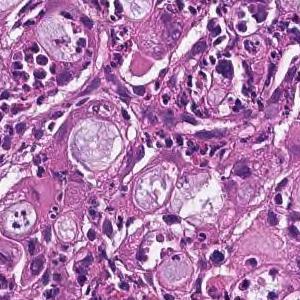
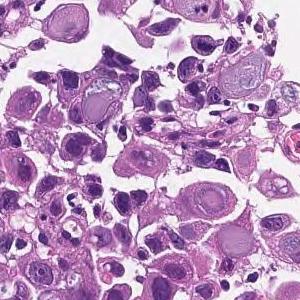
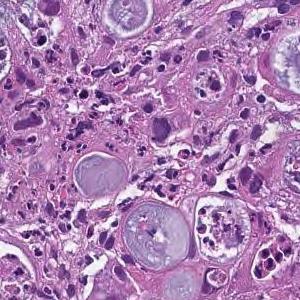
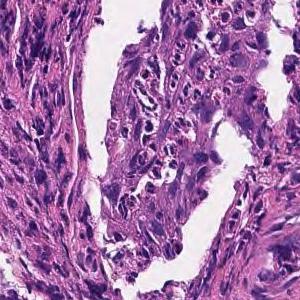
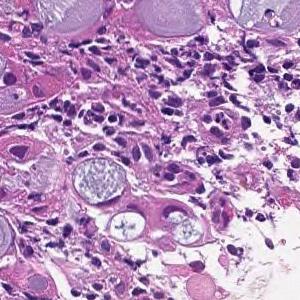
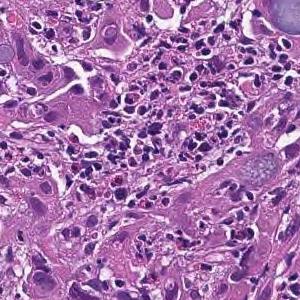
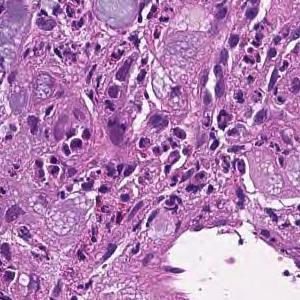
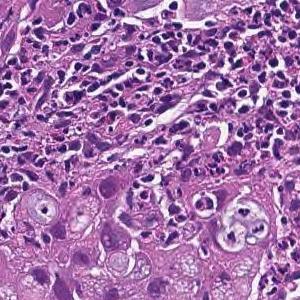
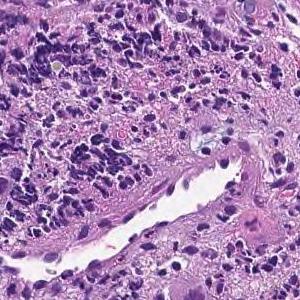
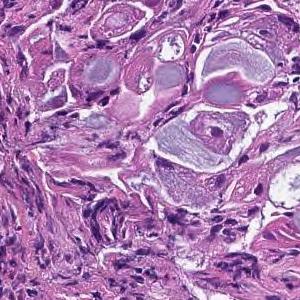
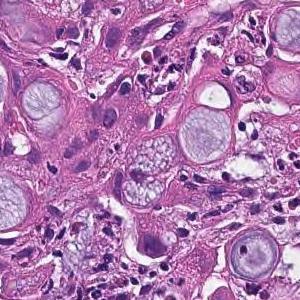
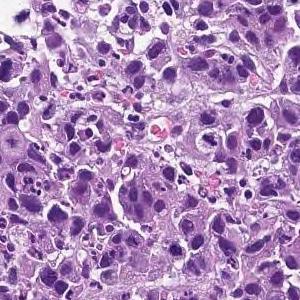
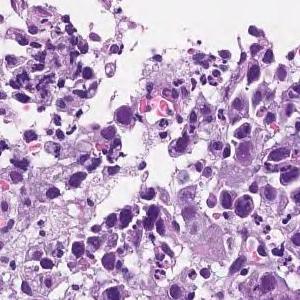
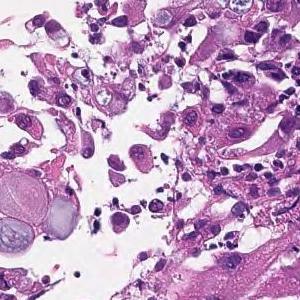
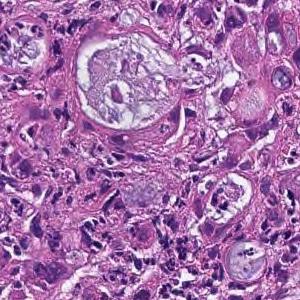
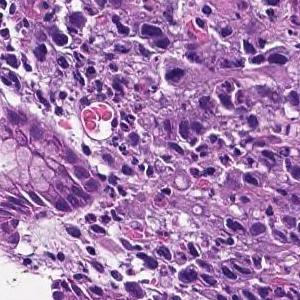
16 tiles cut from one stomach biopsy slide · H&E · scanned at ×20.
Pathology report for the biopsy slide these tiles were cut from. Both the report and the diagnosis are for the whole slide: these tiles need not show every feature named, and some of the tissue shown may not be tumor.
The superficial epithelium shows a large sheet-like shape, and some tumor tissue infiltrates with small irregular ducts. Poorly differentiated adenocarcinoma, solid-type
Histologic type: Poorly differentiated adenocarcinoma, solid type (Japanese Classification of Gastric Carcinoma). The WHO 2019 equivalent is tubular adenocarcinoma, poorly differentiated.
